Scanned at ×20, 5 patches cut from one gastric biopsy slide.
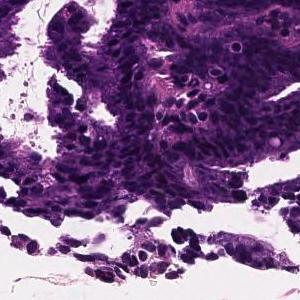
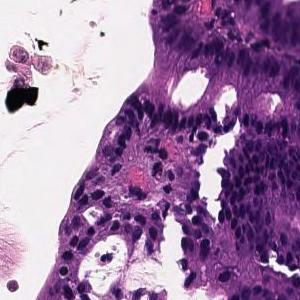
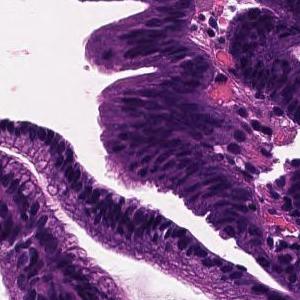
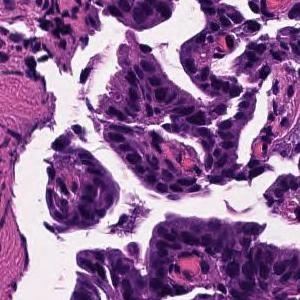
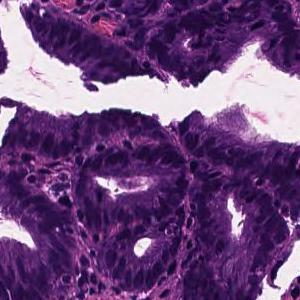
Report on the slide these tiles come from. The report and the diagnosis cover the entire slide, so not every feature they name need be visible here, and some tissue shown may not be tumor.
In the superficial epithelium, tumor tissue that invades by forming medium-sized to small, irregular ducts is observed. moderately differentiated tubular adenocarcinoma.
